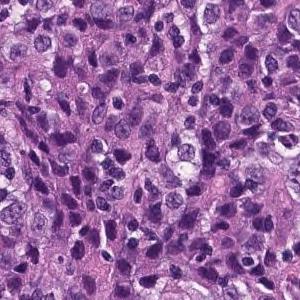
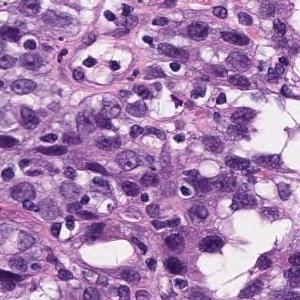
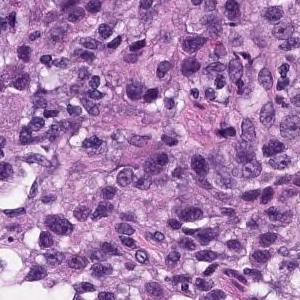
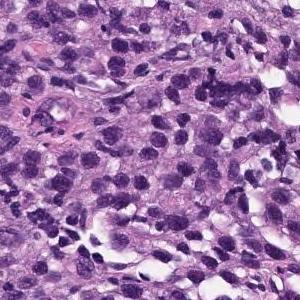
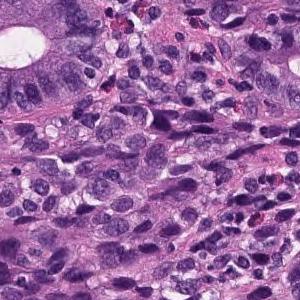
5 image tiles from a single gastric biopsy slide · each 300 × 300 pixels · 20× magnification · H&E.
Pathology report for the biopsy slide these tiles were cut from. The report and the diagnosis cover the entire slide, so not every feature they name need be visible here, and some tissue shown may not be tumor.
In the superficial epithelium, tumor tissue that invades by forming medium-sized to small, irregular ducts is observed. Moderately differentiated adenocarcinoma.
Subtype: Moderately differentiated tubular adenocarcinoma.
